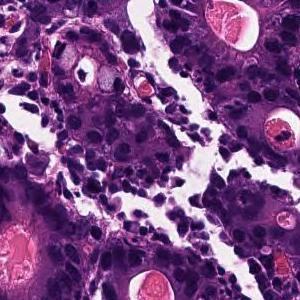
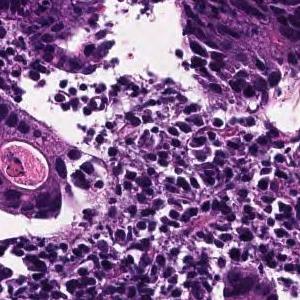
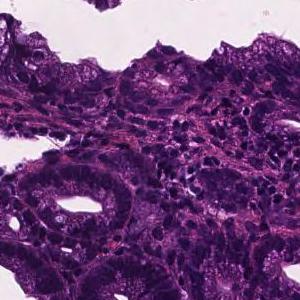
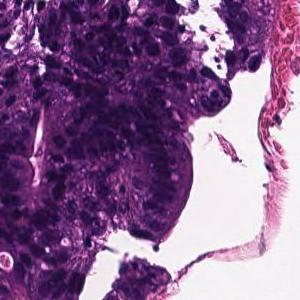
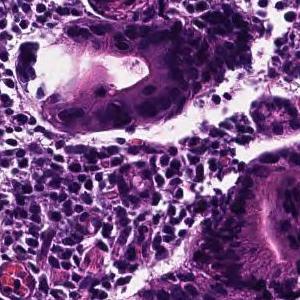
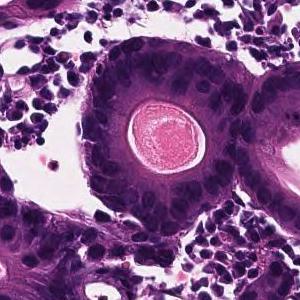
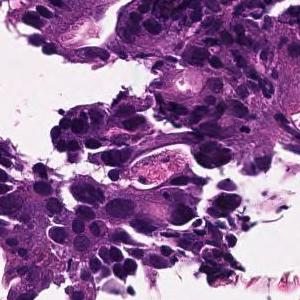
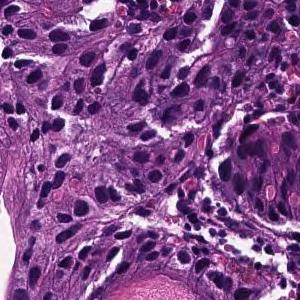
8 patches cut from one gastric biopsy slide, each 300 × 300 pixels, 20× magnification.
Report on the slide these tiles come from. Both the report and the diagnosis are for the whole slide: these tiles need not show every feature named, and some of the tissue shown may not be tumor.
From the superficial epithelium to the muscularis mucosae, tumor tissue infiltrating by forming medium-sized irregular gland ducts is observed. Large tumor cells exhibit large nucleus and hyperchromatism. Well differentiated tubular adenocarcinoma
